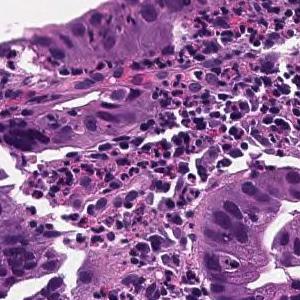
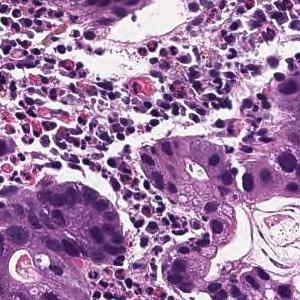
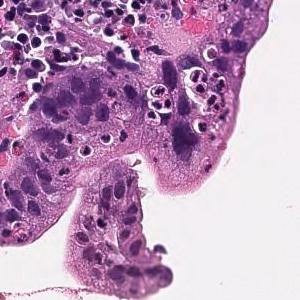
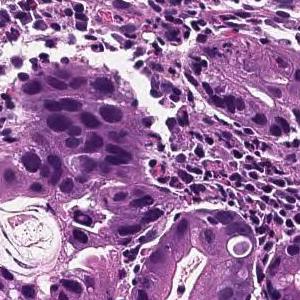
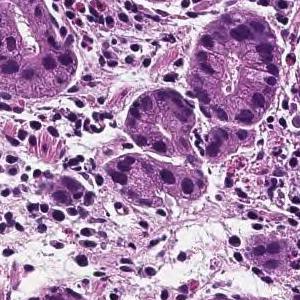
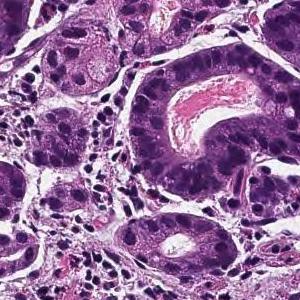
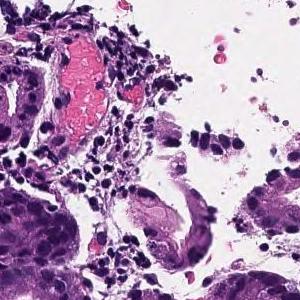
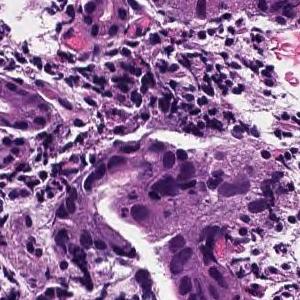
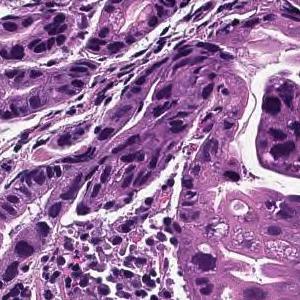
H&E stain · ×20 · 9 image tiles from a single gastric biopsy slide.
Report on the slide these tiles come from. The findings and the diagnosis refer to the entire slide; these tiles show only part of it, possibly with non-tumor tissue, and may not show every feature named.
From the superficial epithelium to the muscularis mucosae, tumor tissue consisting of medium-sized and irregular glandular ducts infiltrating is observed. Well differentiated tubular adenocarcinoma
